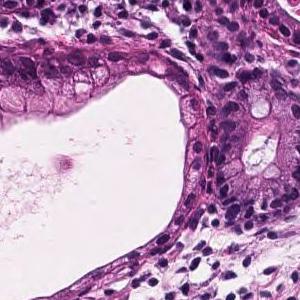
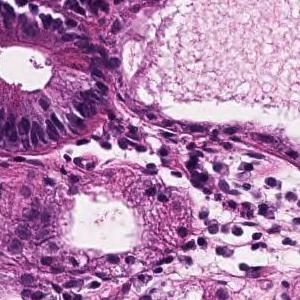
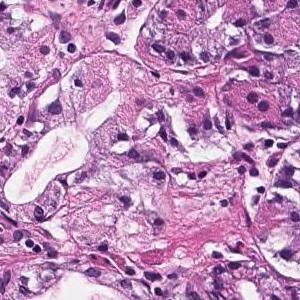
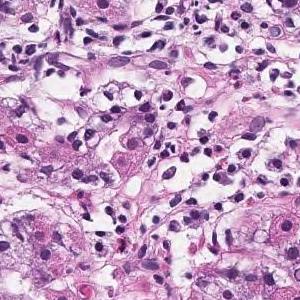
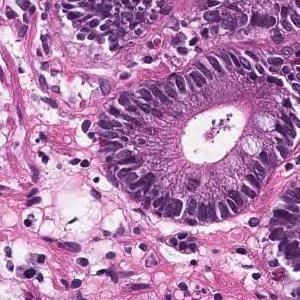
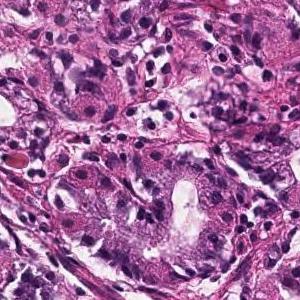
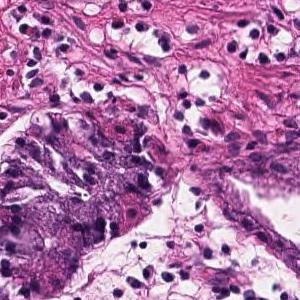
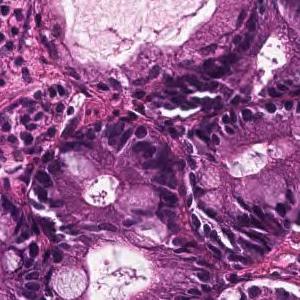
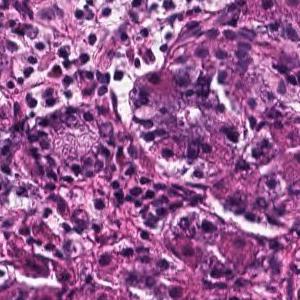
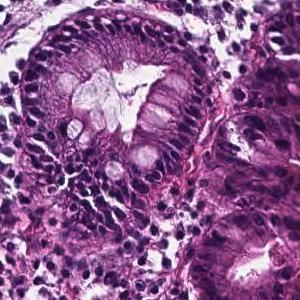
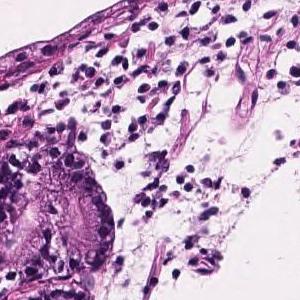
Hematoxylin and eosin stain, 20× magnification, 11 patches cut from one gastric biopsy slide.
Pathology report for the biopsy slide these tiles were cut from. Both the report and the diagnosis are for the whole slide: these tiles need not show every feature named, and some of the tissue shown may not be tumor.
Tumor tissue in which medium to small irregular ducts infiltrate and proliferate in the submucosa can be seen in the epithelium. Well differentiated tubular adenocarcinoma
